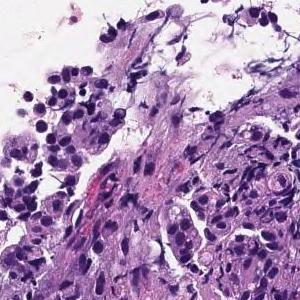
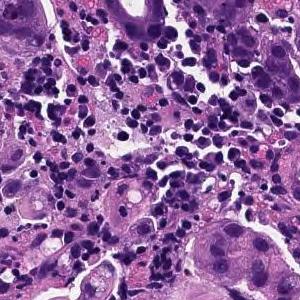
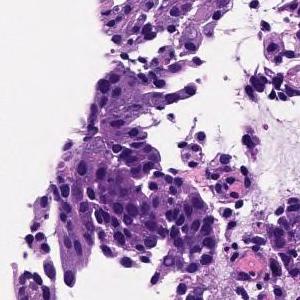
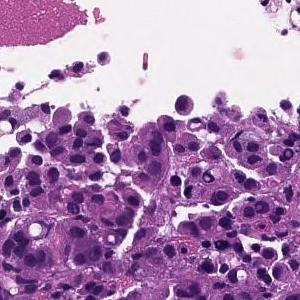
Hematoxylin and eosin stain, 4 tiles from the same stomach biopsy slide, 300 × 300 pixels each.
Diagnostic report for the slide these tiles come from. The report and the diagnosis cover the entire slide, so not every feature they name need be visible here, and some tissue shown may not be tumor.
The superficial epithelium shows a large sheet-like shape, and some tumor tissue infiltrates with small irregular ducts. Poorly differentiated adenocarcinoma, solid-type
Tumor subtype: poorly differentiated adenocarcinoma, solid type (Japanese Classification of Gastric Carcinoma). The WHO 2019 equivalent is tubular adenocarcinoma, poorly differentiated.
